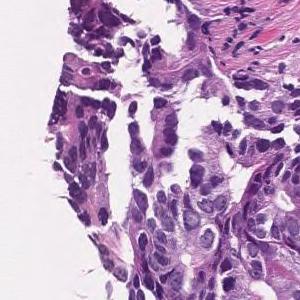
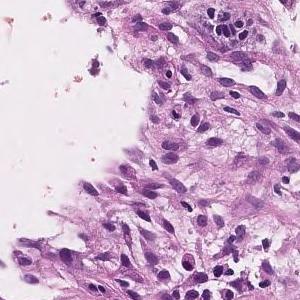
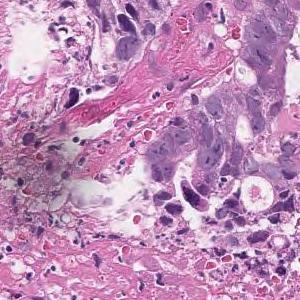
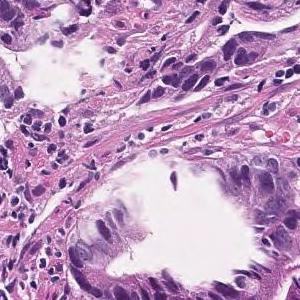
H&E; 4 patches cut from one gastric biopsy slide; 300×300 px each.
Report on the slide these tiles come from. Both the report and the diagnosis are for the whole slide: these tiles need not show every feature named, and some of the tissue shown may not be tumor.
In the superficial epithelium, tumor tissue that invades by forming medium-sized to small, irregular ducts is observed. moderately differentiated tubular adenocarcinoma.
